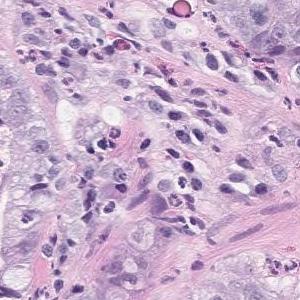
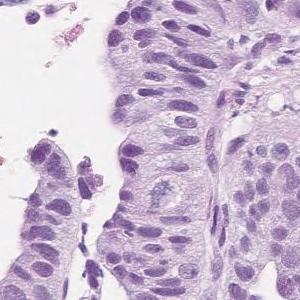
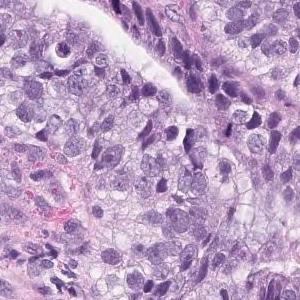
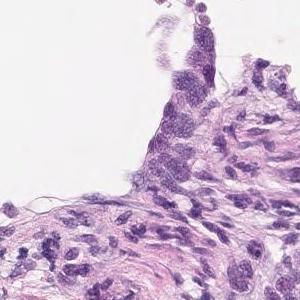
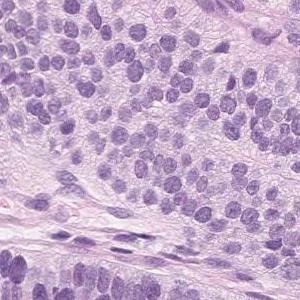
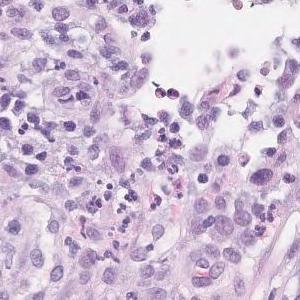
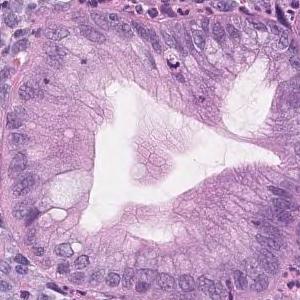
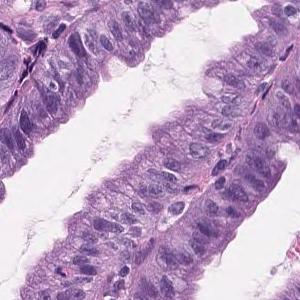
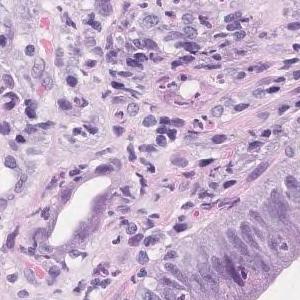
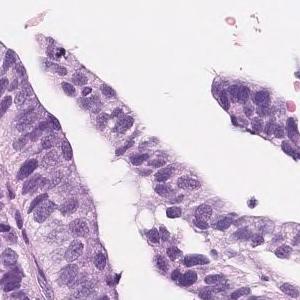
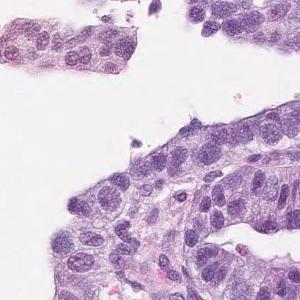
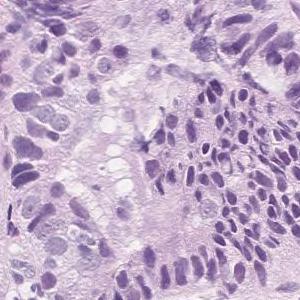
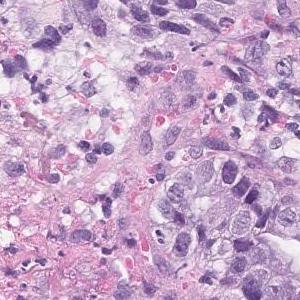
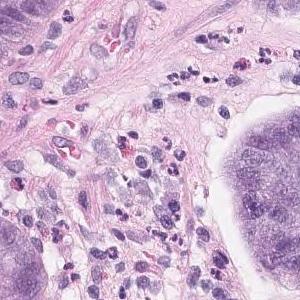
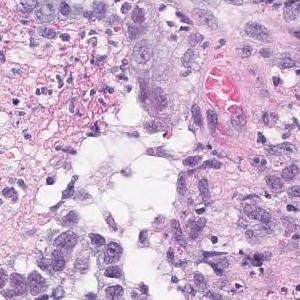
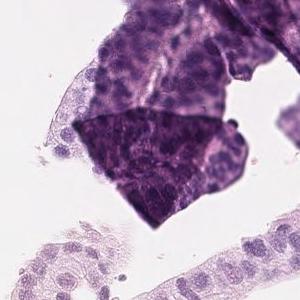
16 tiles from the same stomach biopsy slide; 300×300 px each; 20× magnification; H&E.
Report on the slide these tiles come from. Both the report and the diagnosis are for the whole slide: these tiles need not show every feature named, and some of the tissue shown may not be tumor.
Tumor tissue in which highly columnar atypical epithelial cells with nuclear enlargement and increased nuclear chromatin show papillary to papillary ductal structure and proliferate is observed. Papillary adenocarcinoma.
